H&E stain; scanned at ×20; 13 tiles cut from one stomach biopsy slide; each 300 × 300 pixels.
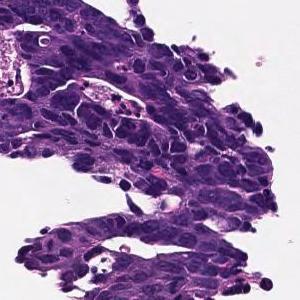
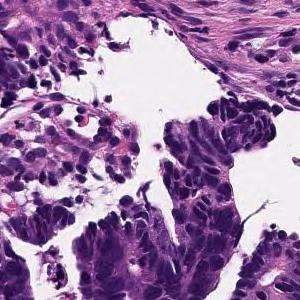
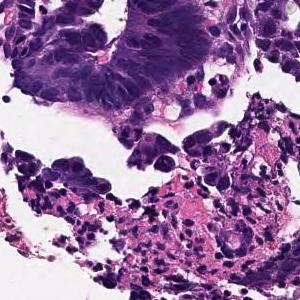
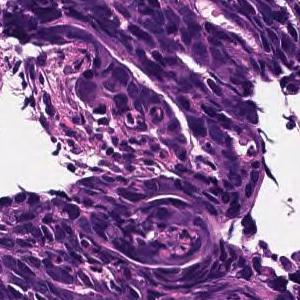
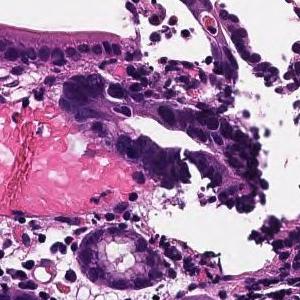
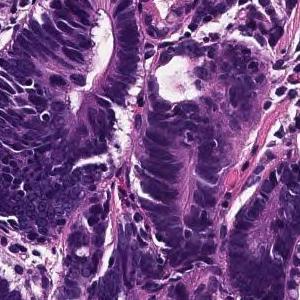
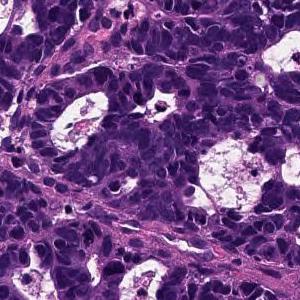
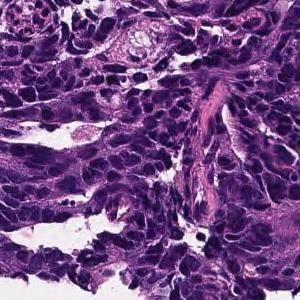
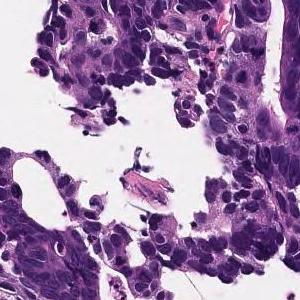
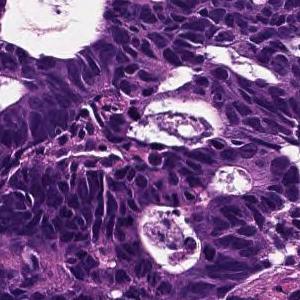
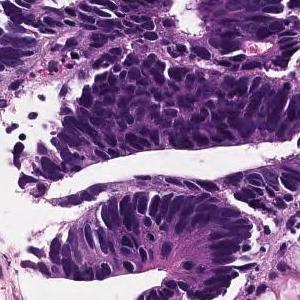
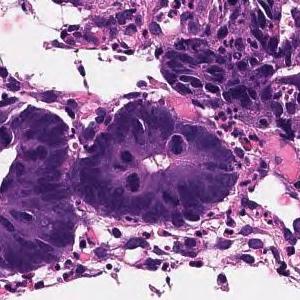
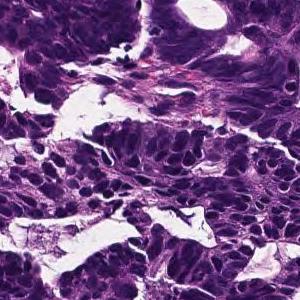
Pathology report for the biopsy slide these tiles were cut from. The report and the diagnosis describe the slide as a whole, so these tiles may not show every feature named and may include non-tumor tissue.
In the superficial epithelium, tumor tissue that invades by forming medium-sized to small, irregular ducts is observed. moderately differentiated tubular adenocarcinoma.
